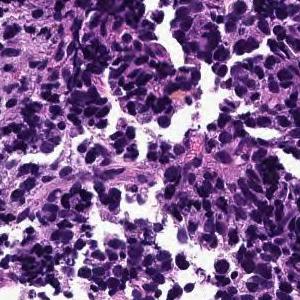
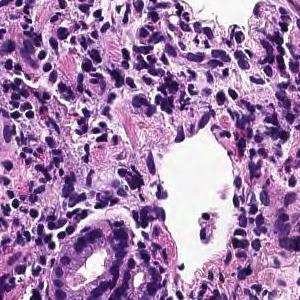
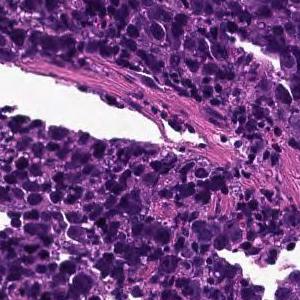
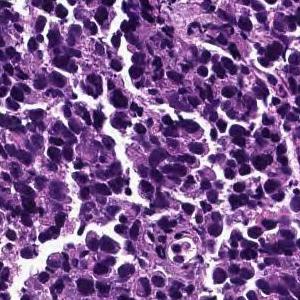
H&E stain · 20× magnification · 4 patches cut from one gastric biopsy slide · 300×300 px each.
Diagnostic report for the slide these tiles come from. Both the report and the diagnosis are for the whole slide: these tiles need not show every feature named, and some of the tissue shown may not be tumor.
The superficial epithelium shows large alveolar or sheet-like forms, and some tumor tissue infiltrates with small irregular ducts. Poorly differentiated adenocarcinoma, solid-type
Histological subtype: Poorly differentiated adenocarcinoma, solid type (Japanese Classification of Gastric Carcinoma). The WHO 2019 equivalent is tubular adenocarcinoma, poorly differentiated.
